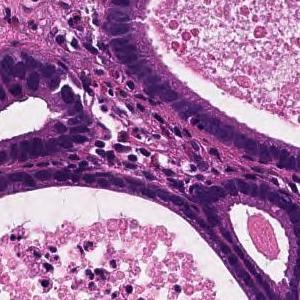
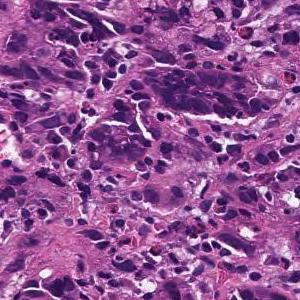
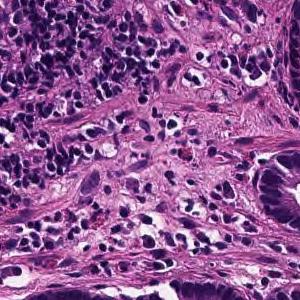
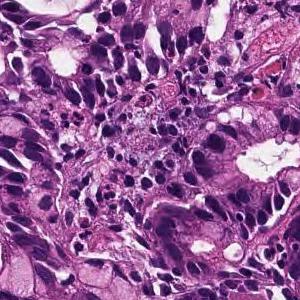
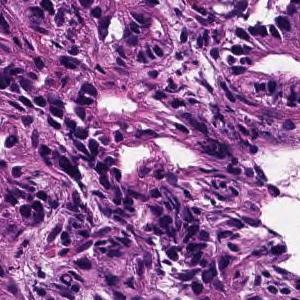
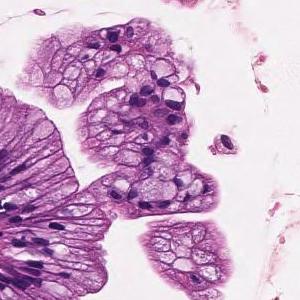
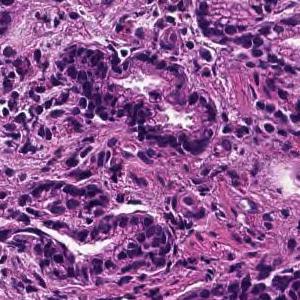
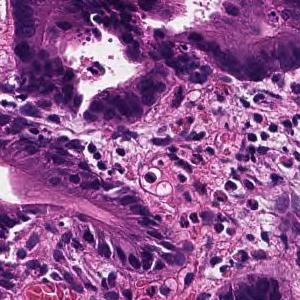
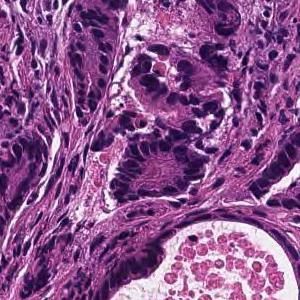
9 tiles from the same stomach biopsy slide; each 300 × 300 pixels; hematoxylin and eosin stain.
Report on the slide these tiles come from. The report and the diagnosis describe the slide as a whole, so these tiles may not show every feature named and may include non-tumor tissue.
On the superficial epithelium, tumor tissue consisting of medium-sized and irregular glandular ducts partially fused and infiltrated is observed. Well to moderately differentiated tubular adenocarcinoma (well differentiated tubular adenocarcinoma-moderately differentiated tubular adenocarcinoma)
Histologic type: Well to moderately differentiated tubular adenocarcinoma.
